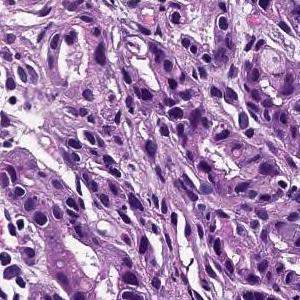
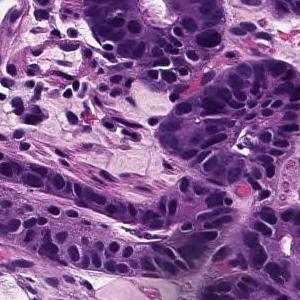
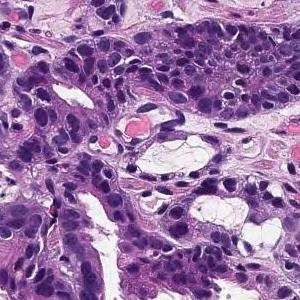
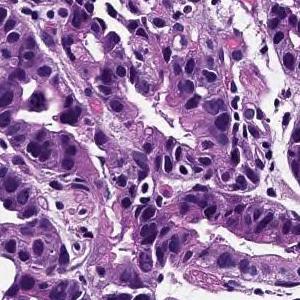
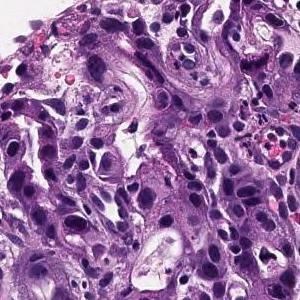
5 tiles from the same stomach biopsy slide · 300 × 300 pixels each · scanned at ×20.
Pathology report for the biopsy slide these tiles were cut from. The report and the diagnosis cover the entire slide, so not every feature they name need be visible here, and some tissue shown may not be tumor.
From the superficial epithelium to the muscularis mucosae, tumor tissue consisting of medium-sized and irregular glandular ducts infiltrating is observed. Well differentiated tubular adenocarcinoma
